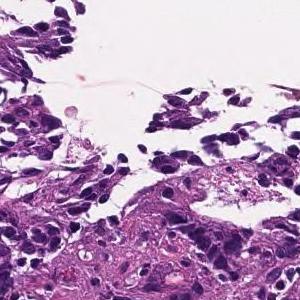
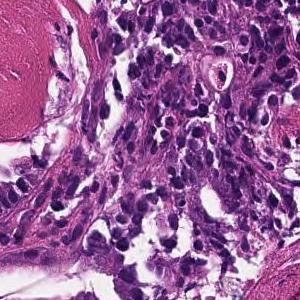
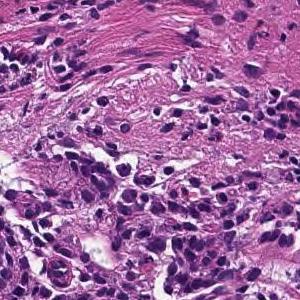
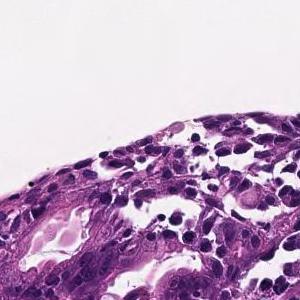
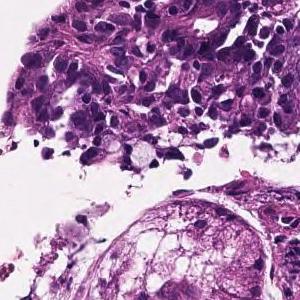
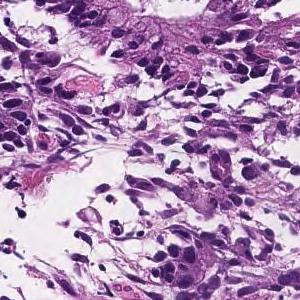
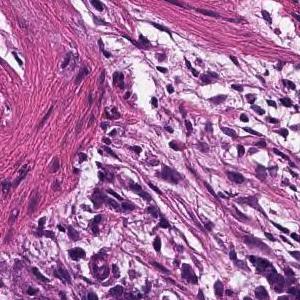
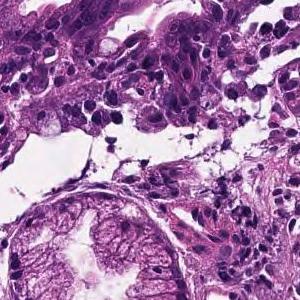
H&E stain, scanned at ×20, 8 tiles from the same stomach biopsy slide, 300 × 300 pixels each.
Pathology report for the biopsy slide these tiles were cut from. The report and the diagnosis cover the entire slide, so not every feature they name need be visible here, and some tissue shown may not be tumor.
In the superficial epithelium, tumor tissue that invades by forming medium-sized to small, irregular ducts is observed. moderately differentiated tubular adenocarcinoma.
